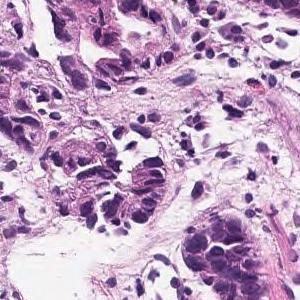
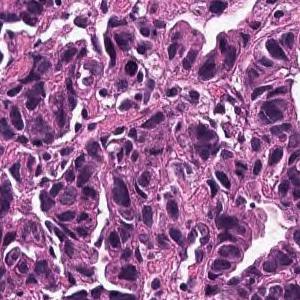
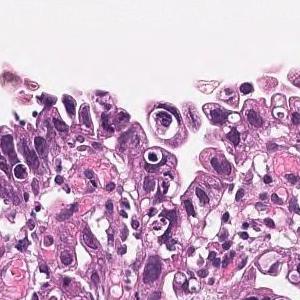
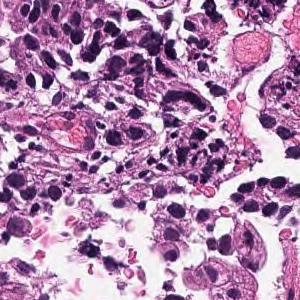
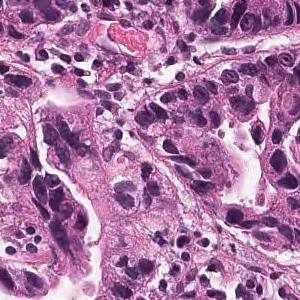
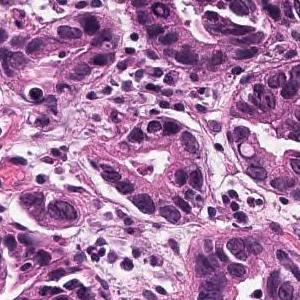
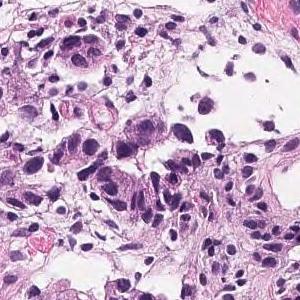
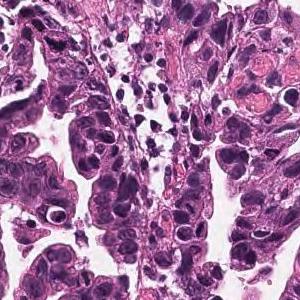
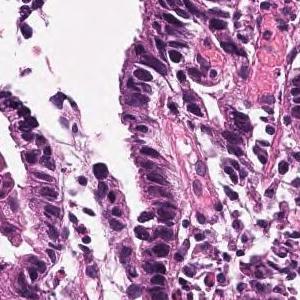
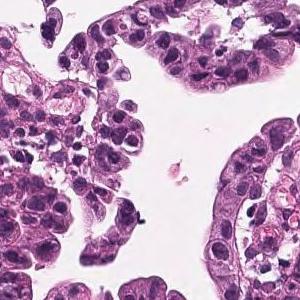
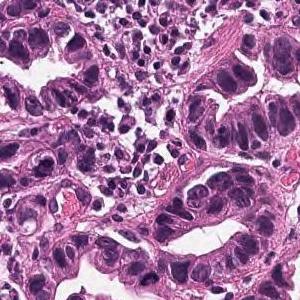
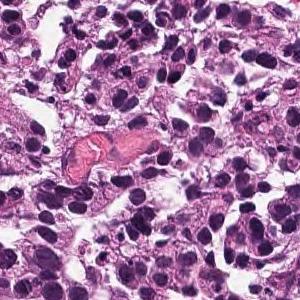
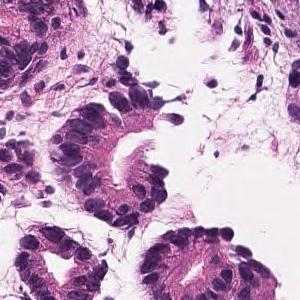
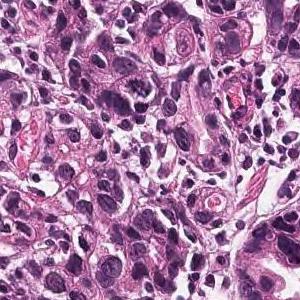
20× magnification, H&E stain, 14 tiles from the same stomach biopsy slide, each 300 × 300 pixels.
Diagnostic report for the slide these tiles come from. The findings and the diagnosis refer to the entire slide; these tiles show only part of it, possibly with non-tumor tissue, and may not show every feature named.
Medium to small, irregular glandular ducts are formed in the superficial epithelium, and in some cases, the glandular ducts are fused to show solid alveolar lesions and infiltrating tumor tissue is observed. Moderately to poorly differentiated adenocarcinoma.
